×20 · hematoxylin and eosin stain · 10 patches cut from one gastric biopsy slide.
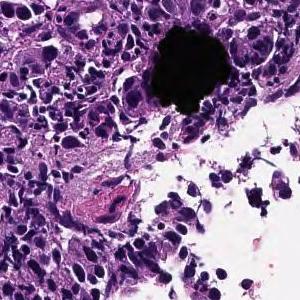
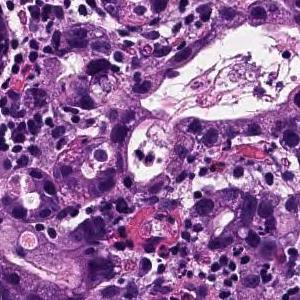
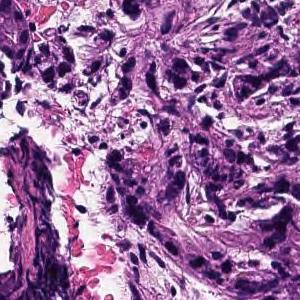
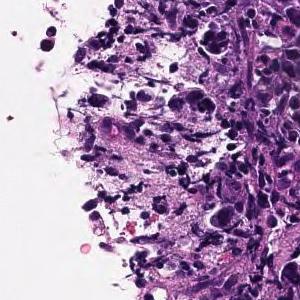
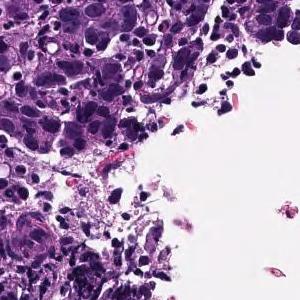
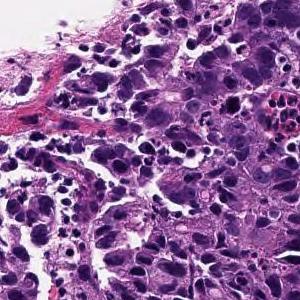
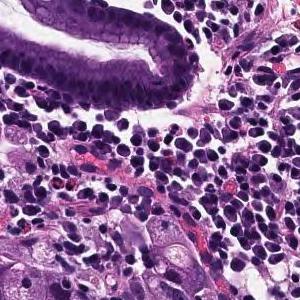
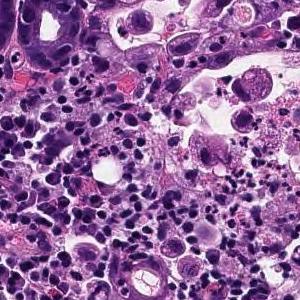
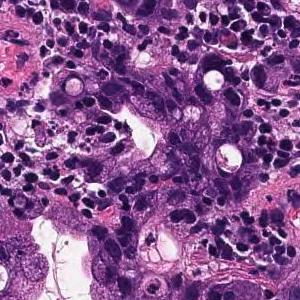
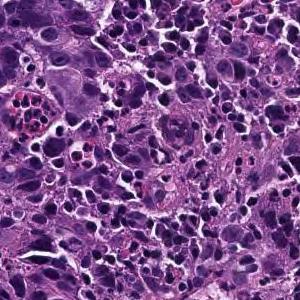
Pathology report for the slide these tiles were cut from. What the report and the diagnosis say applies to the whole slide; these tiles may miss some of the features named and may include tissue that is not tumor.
Tumor tissue consisting of medium-sized, cord-like or irregular glandular infiltration is observed in the superficial epithelium. Poorly differentiated adenocarcinoma, non-solid type or moderately differentiated tubular adenocarcinoma
Classified as moderately to poorly differentiated adenocarcinoma.
The term "non-solid type" comes from the Japanese Classification of Gastric Carcinoma.
